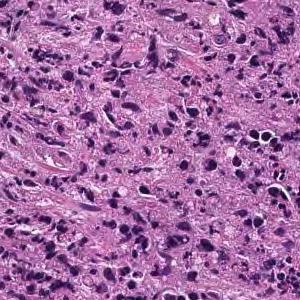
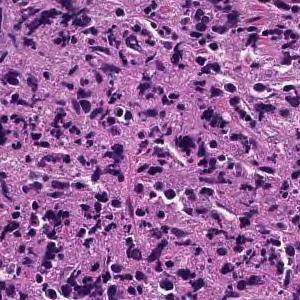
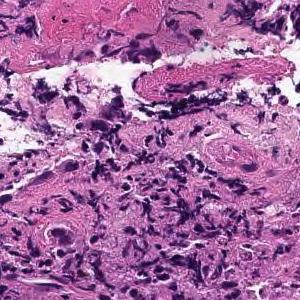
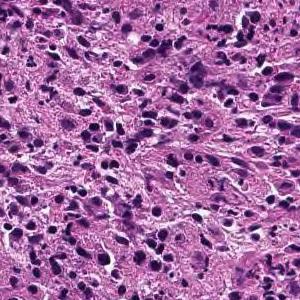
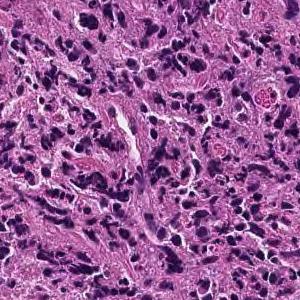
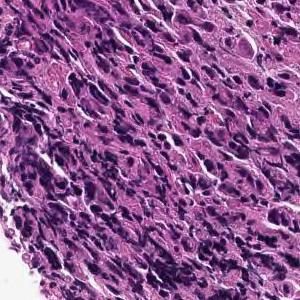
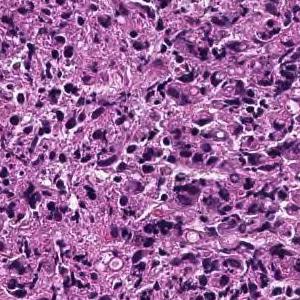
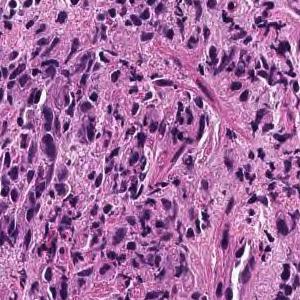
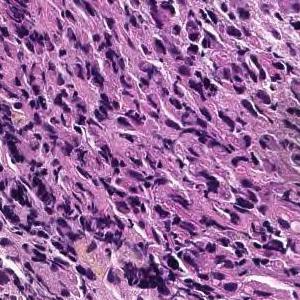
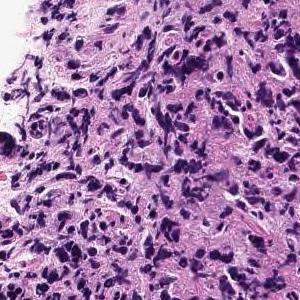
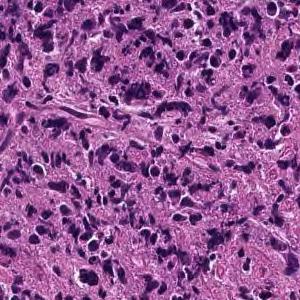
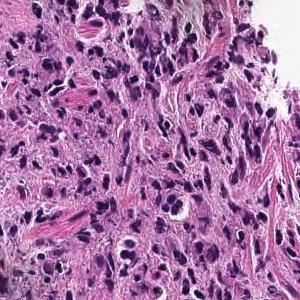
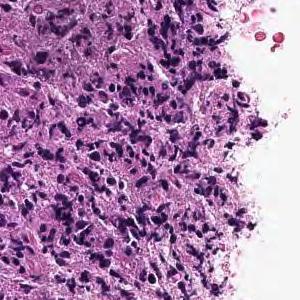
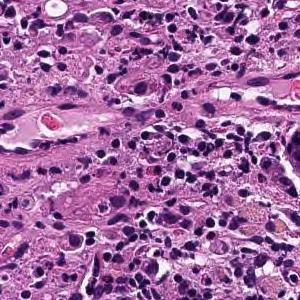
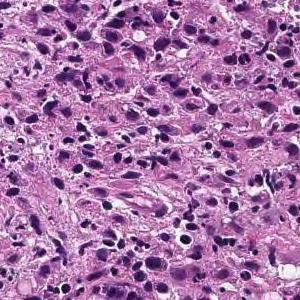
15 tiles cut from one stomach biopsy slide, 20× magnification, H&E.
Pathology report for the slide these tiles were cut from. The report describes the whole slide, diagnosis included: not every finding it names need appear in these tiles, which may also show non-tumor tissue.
Large sheet-like or diffusely infiltrating tumor tissue is found in the superficial epithelium. Poorly differentiated adenocarcinoma, solid-type
Subtype: Poorly differentiated adenocarcinoma, solid type, a category of the Japanese Classification of Gastric Carcinoma; in the WHO 2019 classification it is tubular adenocarcinoma, poorly differentiated.
